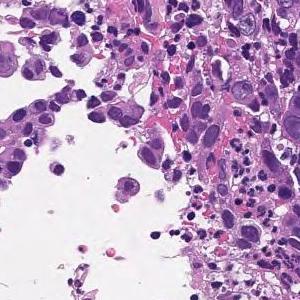
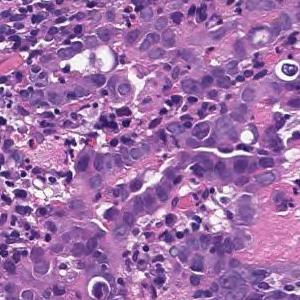
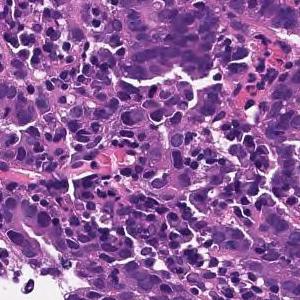
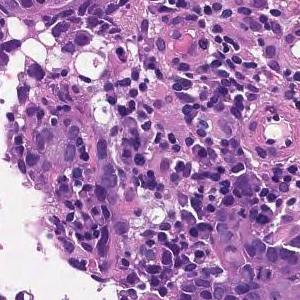
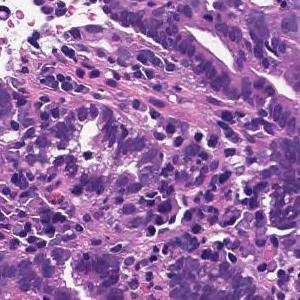
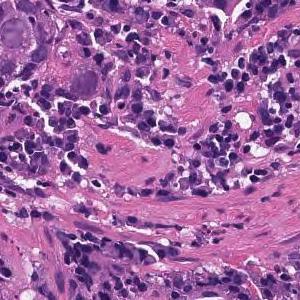
H&E, 6 image tiles from a single gastric biopsy slide.
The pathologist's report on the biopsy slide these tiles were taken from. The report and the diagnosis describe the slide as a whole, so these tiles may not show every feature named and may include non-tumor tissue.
Tumor tissue consisting of cord-like or small, irregular glandular ducts fused and infiltrated is observed in the superficial epithelium. Poorly differentiated adenocarcinoma, non-solid type
"Non-solid type" is a category of the Japanese Classification of Gastric Carcinoma.
